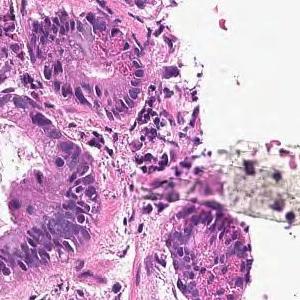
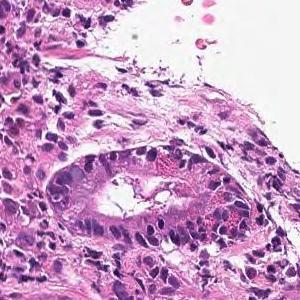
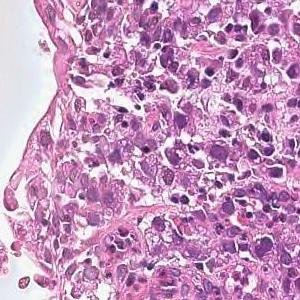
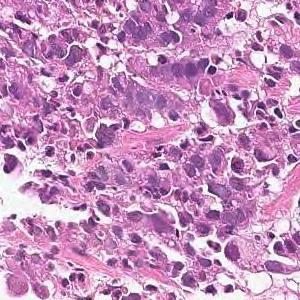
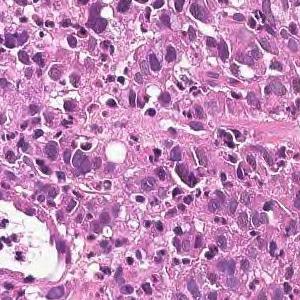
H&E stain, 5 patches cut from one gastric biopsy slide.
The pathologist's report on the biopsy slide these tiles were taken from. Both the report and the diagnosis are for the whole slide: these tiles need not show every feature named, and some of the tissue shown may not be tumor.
The superficial epithelium shows a large sheet-like shape, and some tumor tissue infiltrates with small irregular ducts. Poorly differentiated adenocarcinoma, solid-type
Classified as poorly differentiated adenocarcinoma, solid type (Japanese Classification of Gastric Carcinoma). The WHO 2019 equivalent is tubular adenocarcinoma, poorly differentiated.
